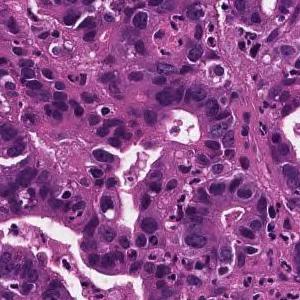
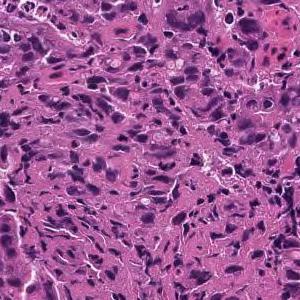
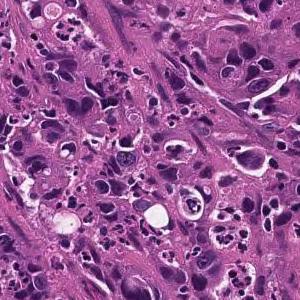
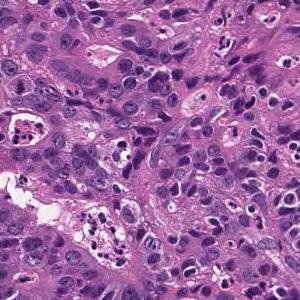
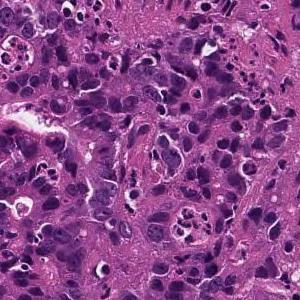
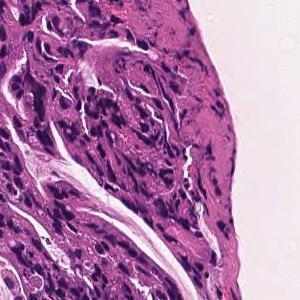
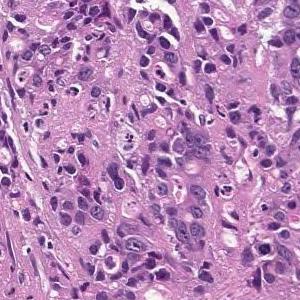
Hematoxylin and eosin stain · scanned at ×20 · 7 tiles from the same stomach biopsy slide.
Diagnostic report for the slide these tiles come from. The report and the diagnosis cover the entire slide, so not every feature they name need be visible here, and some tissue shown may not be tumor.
In the superficial epithelium, tumor tissue that invades by forming medium-sized to small, irregular ducts is observed. moderately differentiated tubular adenocarcinoma.
